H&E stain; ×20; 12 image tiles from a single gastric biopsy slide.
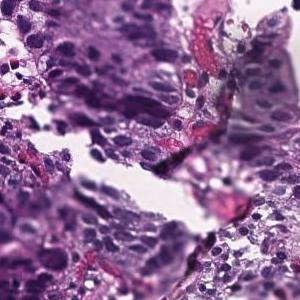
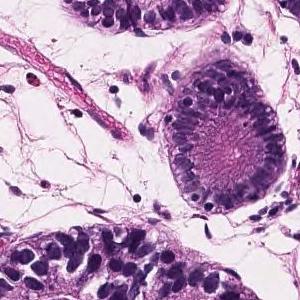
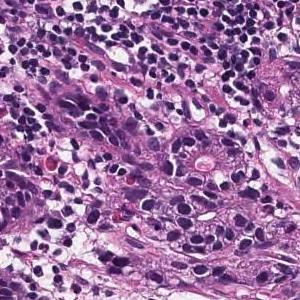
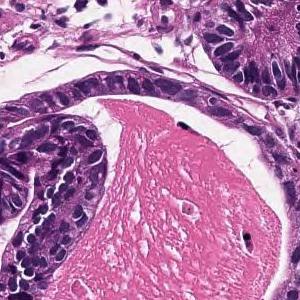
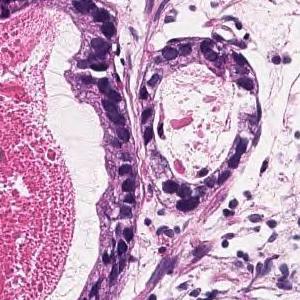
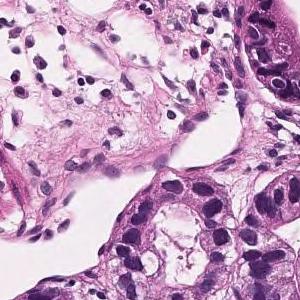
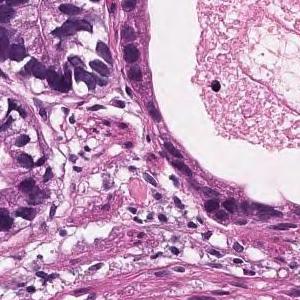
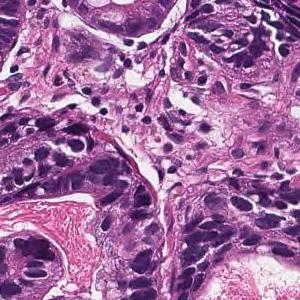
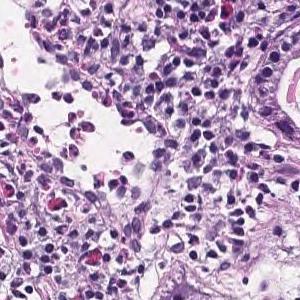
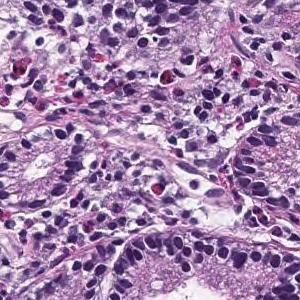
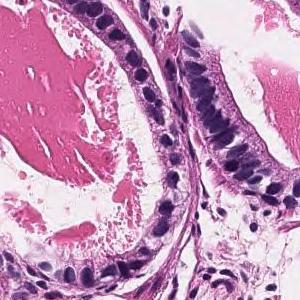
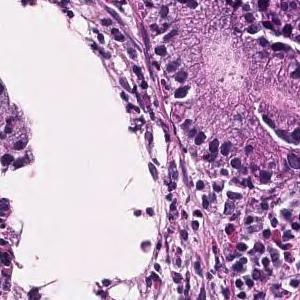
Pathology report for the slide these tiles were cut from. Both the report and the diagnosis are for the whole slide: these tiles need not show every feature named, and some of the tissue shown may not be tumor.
Tumor tissue consisting of medium-sized and irregular ducts is observed infiltrating in the superficial epithelium. Tumor cells are highly columnar, with nuclei aligned basolaterally and polarized. Well differentiated tubular adenocarcinoma.
